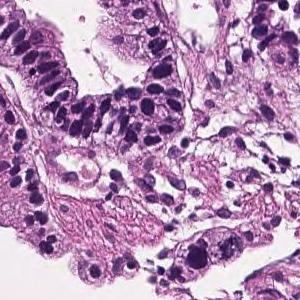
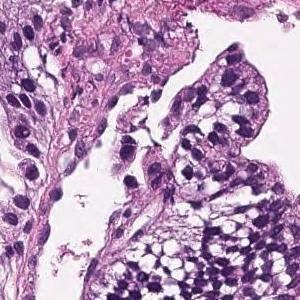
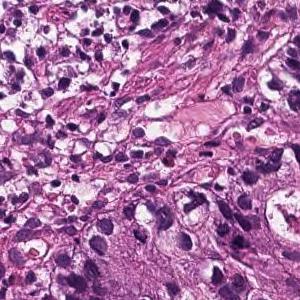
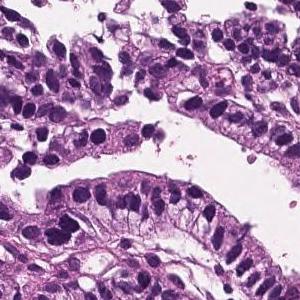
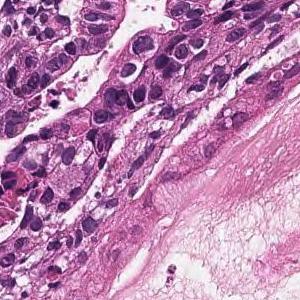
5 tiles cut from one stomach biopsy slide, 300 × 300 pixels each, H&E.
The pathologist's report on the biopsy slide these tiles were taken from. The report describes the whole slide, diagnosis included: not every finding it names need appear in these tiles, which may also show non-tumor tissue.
On the superficial epithelium, tumor tissue consisting of large, irregular glandular ducts partially fused and infiltrated is observed. Well to moderately differentiated tubular adenocarcinoma (well differentiated tubular adenocarcinoma, moderately differentiated tubular adenocarcinoma)
Subtype: Well to moderately differentiated tubular adenocarcinoma.
